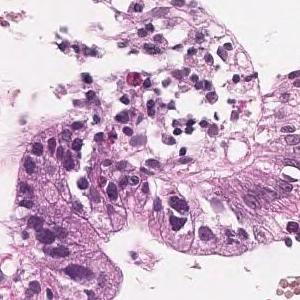
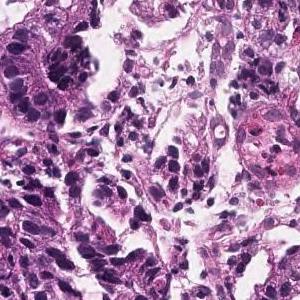
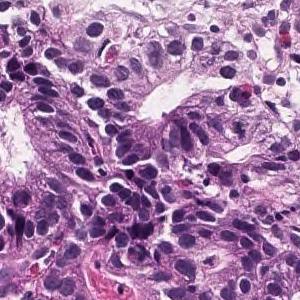
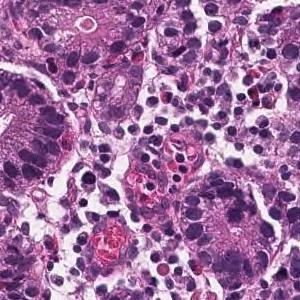
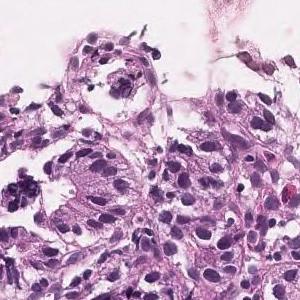
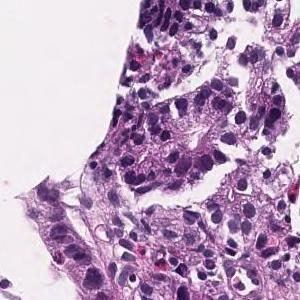
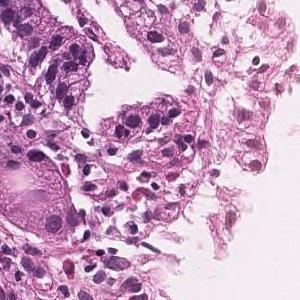
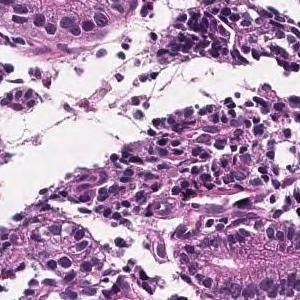
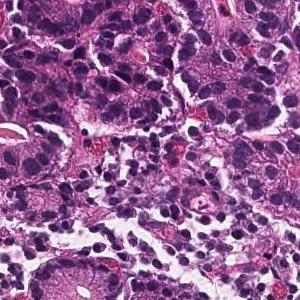
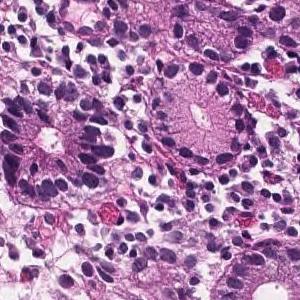
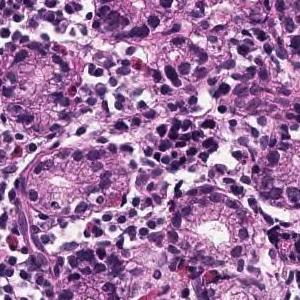
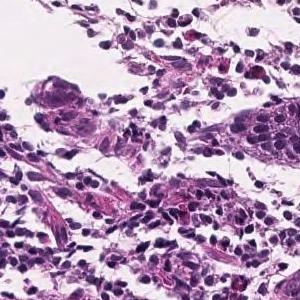
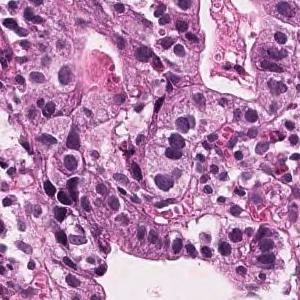
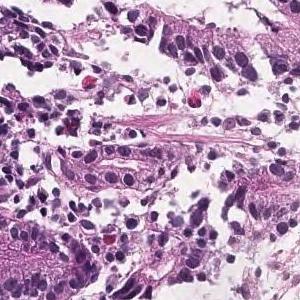
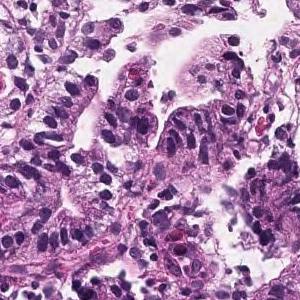
H&E stain; 15 tiles from the same stomach biopsy slide; 300×300 px each.
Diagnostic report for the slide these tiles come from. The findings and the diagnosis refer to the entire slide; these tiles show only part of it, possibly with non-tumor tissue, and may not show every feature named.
Tumor tissue that forms medium-sized, irregular glandular ducts and is papillary and proliferate is observed confined to the mucosal epithelium. moderately differentiated tubular adenocarcinoma.
